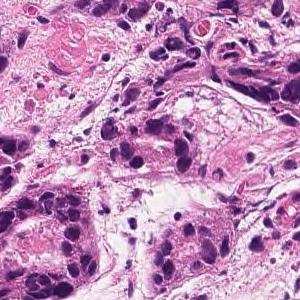
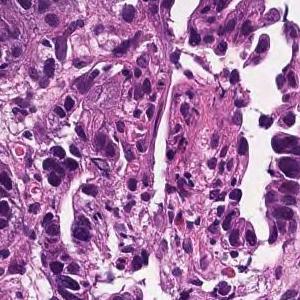
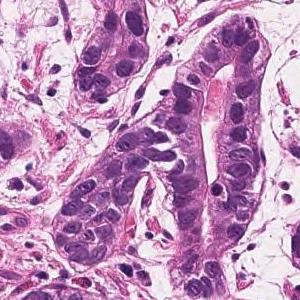
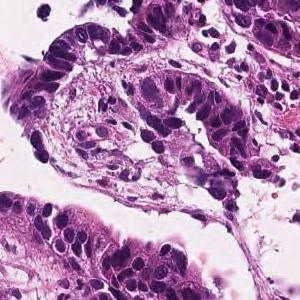
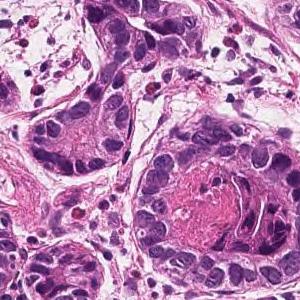
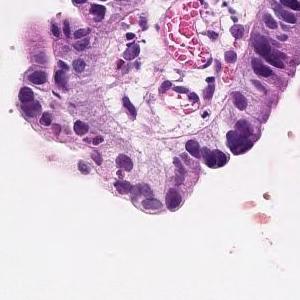
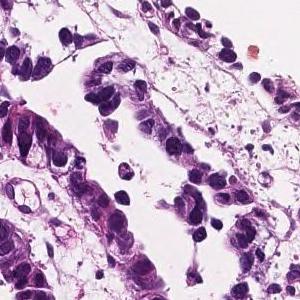
H&E stain, 7 image tiles from a single gastric biopsy slide.
Report on the slide these tiles come from. The report and the diagnosis describe the slide as a whole, so these tiles may not show every feature named and may include non-tumor tissue.
In the superficial epithelium, tumor tissue that invades by forming medium-sized to small, irregular ducts is observed. Well differentiated tubular adenocarcinoma.
